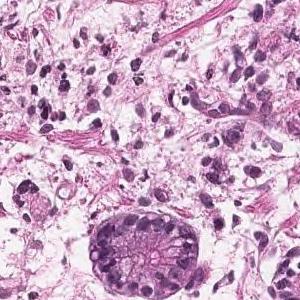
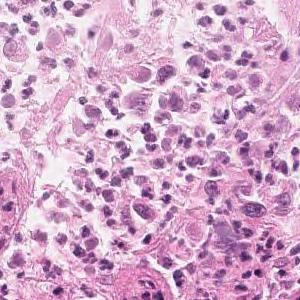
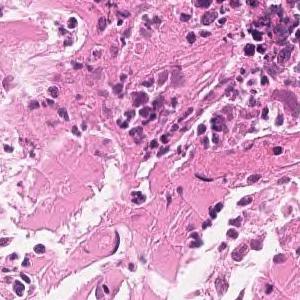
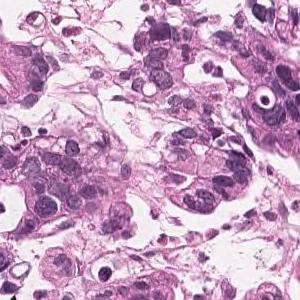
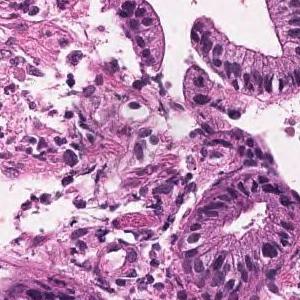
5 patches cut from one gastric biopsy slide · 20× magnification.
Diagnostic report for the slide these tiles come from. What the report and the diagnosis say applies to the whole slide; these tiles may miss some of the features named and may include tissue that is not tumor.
In the superficial epithelium, medium to small irregular gland ducts are formed, and in some cases, the ducts are fused to show solid alveolar lesions and infiltrating tumor tissue is observed. Moderately to poorly differentiated adenocarcinoma
